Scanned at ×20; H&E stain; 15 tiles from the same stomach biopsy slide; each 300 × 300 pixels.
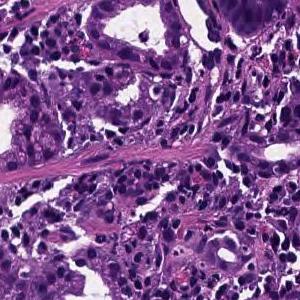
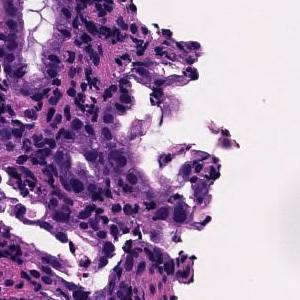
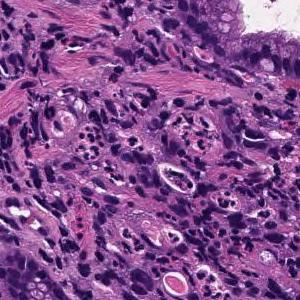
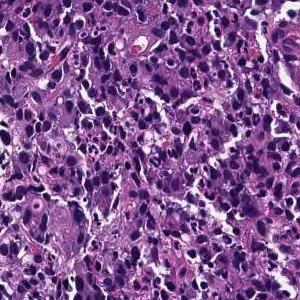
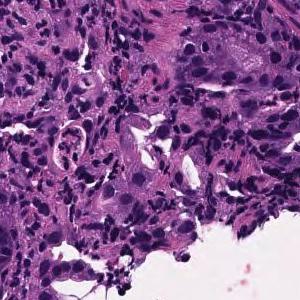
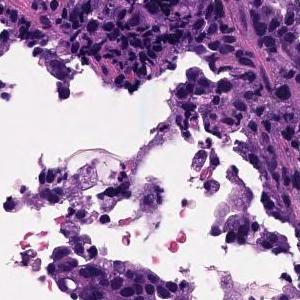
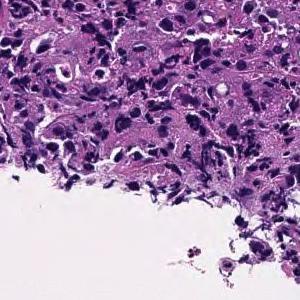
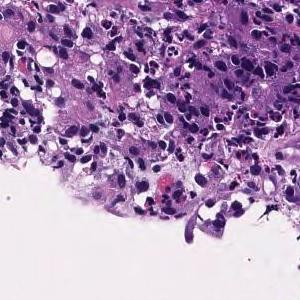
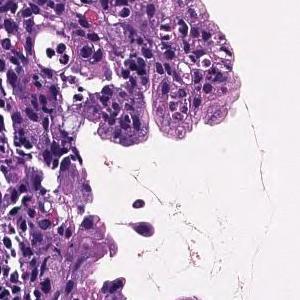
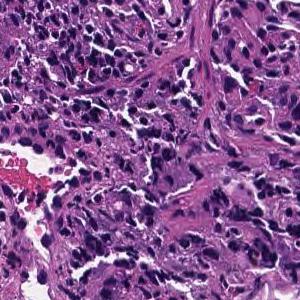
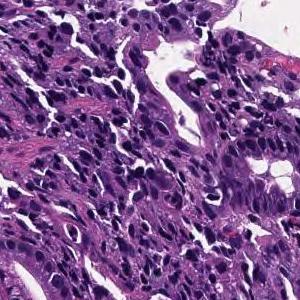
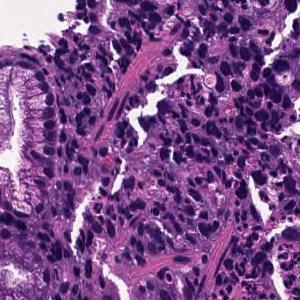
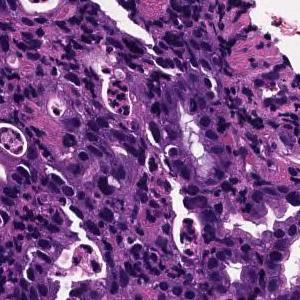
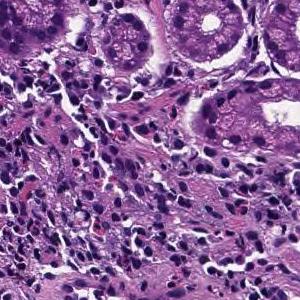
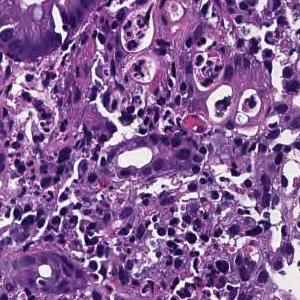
Diagnostic report for the slide these tiles come from. The report and the diagnosis cover the entire slide, so not every feature they name need be visible here, and some tissue shown may not be tumor.
Medium to small, irregular glandular ducts are formed in the superficial epithelium, and in some cases, the glandular ducts are fused to show solid alveolar lesions and infiltrating tumor tissue is observed. Moderately to poorly differentiated adenocarcinoma.
